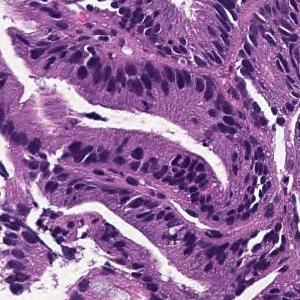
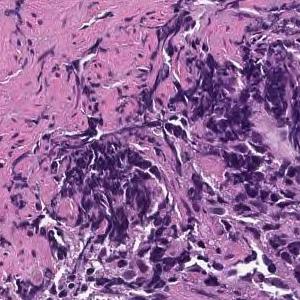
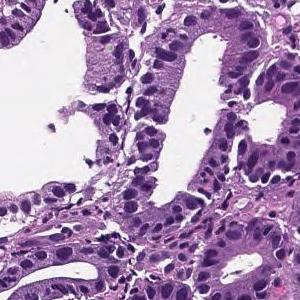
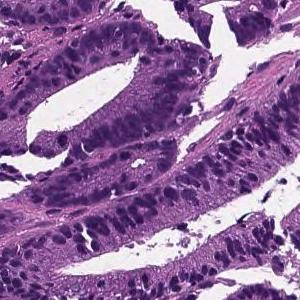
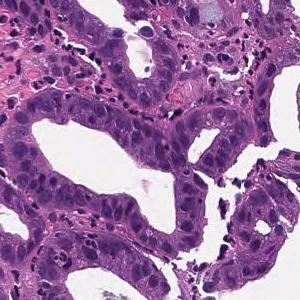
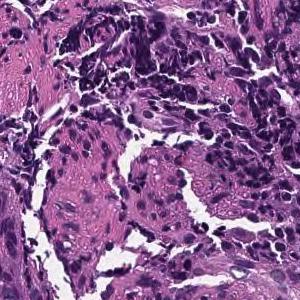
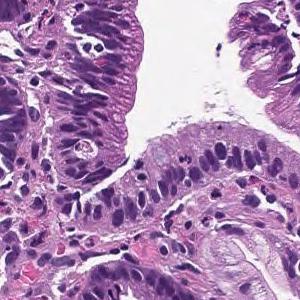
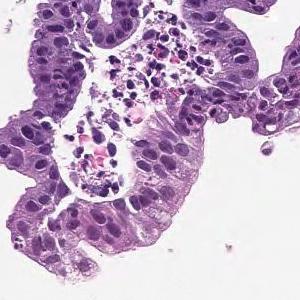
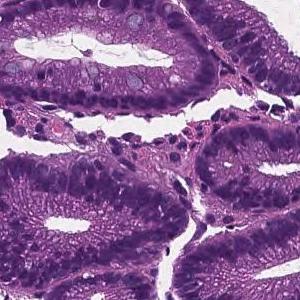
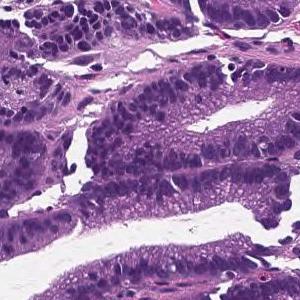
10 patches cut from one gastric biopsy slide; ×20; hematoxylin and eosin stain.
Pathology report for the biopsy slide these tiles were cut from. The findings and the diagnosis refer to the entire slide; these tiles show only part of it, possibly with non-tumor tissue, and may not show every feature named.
From the superficial epithelium to the muscularis mucosae, tumor tissue consisting of medium-sized and irregular glandular ducts infiltrating is observed. Well differentiated tubular adenocarcinoma
